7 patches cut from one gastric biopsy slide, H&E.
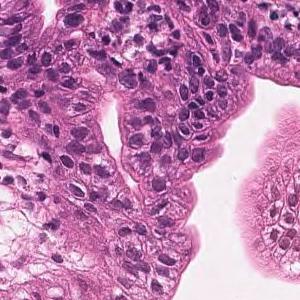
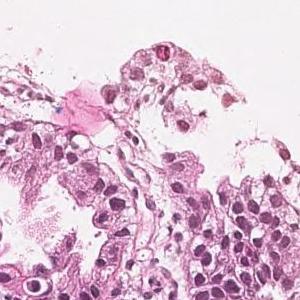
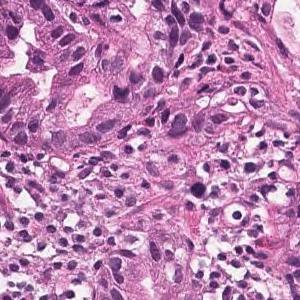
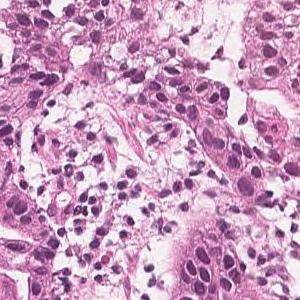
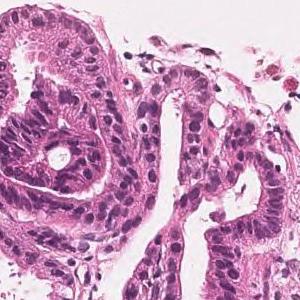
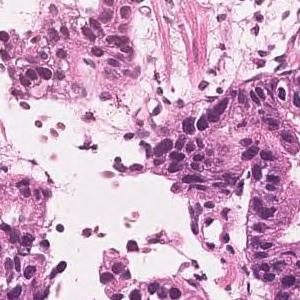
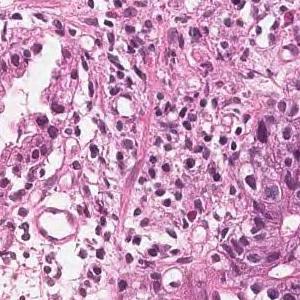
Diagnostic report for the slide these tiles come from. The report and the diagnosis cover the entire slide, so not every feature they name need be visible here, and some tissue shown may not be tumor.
Tumor tissue consisting of medium-sized and irregular ducts is observed infiltrating in the superficial epithelium. Tumor cells are highly columnar, with nuclei aligned basolaterally and polarized. Well differentiated tubular adenocarcinoma.
